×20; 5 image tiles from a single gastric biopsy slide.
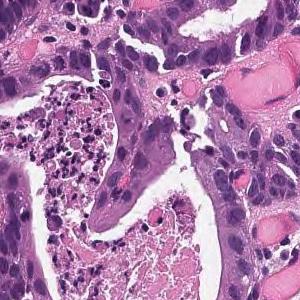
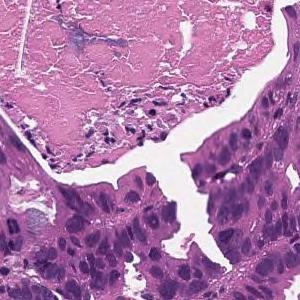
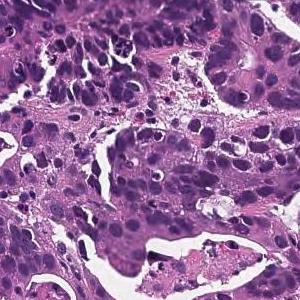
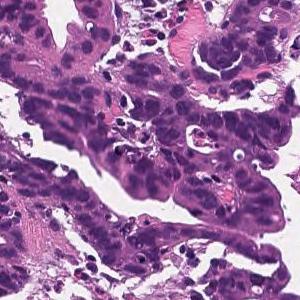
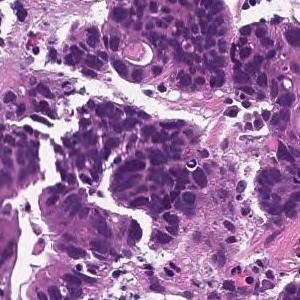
Pathology report for the slide these tiles were cut from. The report describes the whole slide, diagnosis included: not every finding it names need appear in these tiles, which may also show non-tumor tissue.
In the superficial epithelium, tumor tissue that invades by forming medium-sized to small, irregular ducts is observed. moderately differentiated tubular adenocarcinoma.
